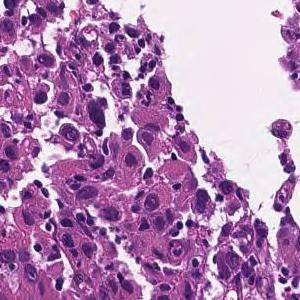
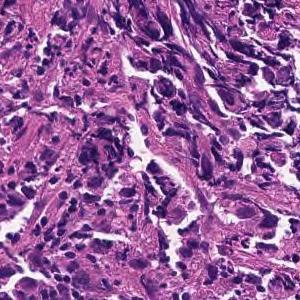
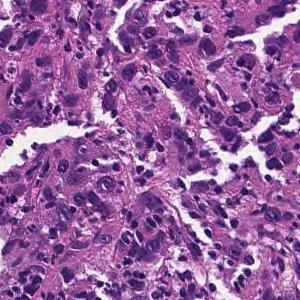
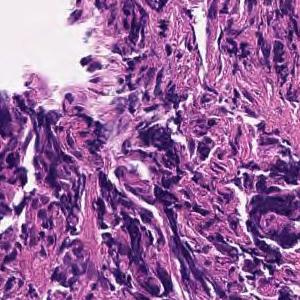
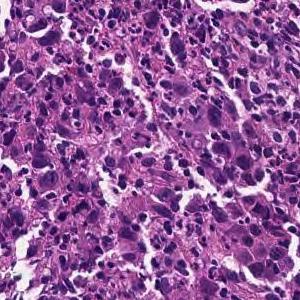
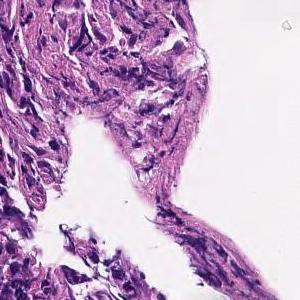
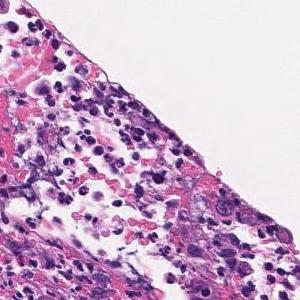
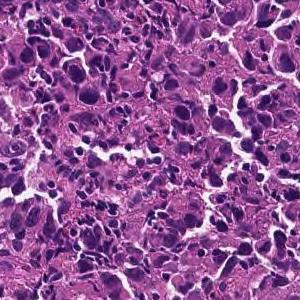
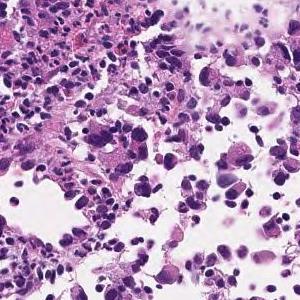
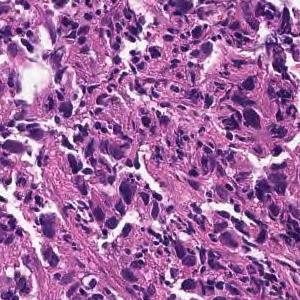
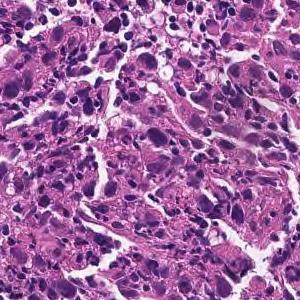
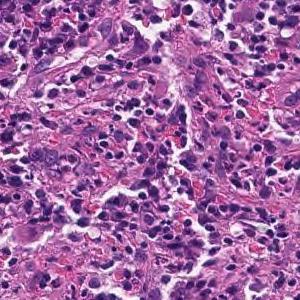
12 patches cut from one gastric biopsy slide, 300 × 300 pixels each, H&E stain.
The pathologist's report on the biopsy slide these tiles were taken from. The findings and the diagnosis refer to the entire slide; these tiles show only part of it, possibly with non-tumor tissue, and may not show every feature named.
The superficial epithelium shows a large sheet-like shape, and some tumor tissue infiltrates with small irregular ducts. Poorly differentiated adenocarcinoma, solid-type (poorly differentiated adenocarcinoma, solid type)
Classified as poorly differentiated adenocarcinoma, solid type (Japanese Classification of Gastric Carcinoma). The WHO 2019 equivalent is tubular adenocarcinoma, poorly differentiated.
